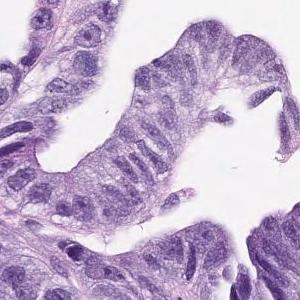
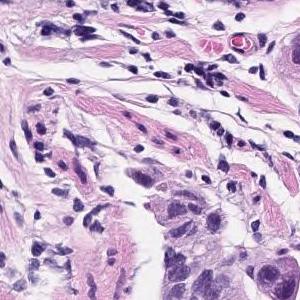
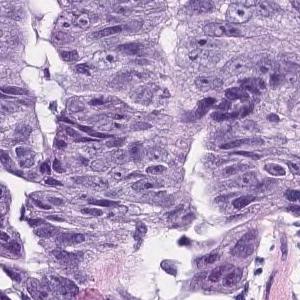
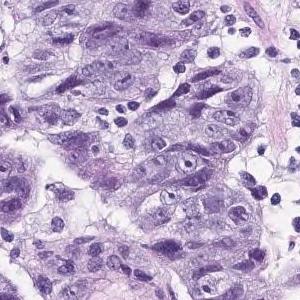
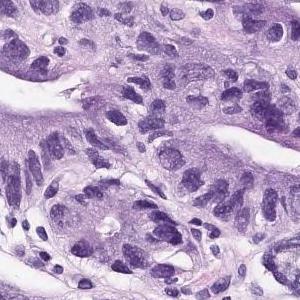
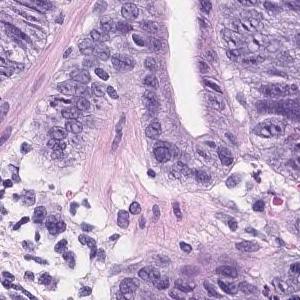
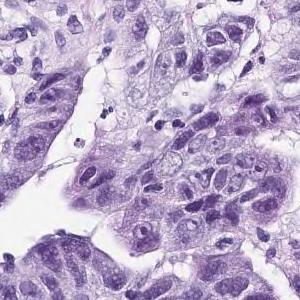
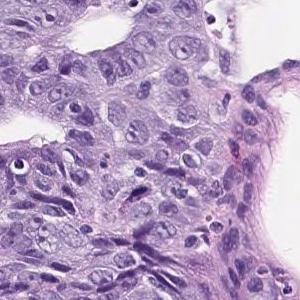
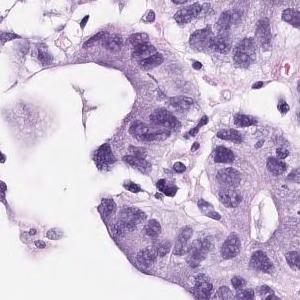
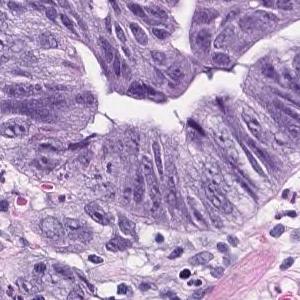
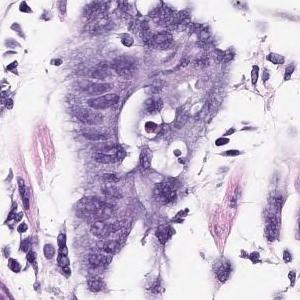
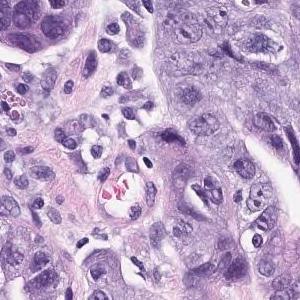
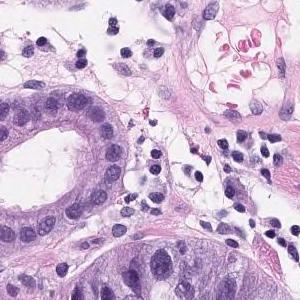
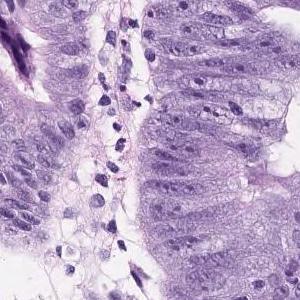
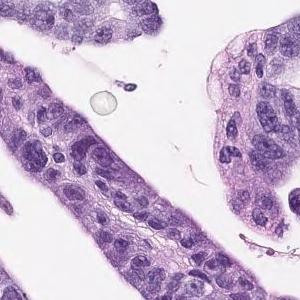
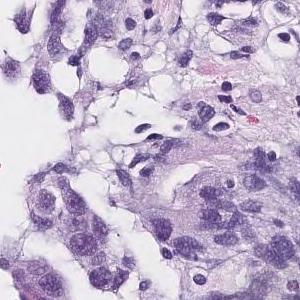
16 patches cut from one gastric biopsy slide; hematoxylin and eosin stain; 20× magnification.
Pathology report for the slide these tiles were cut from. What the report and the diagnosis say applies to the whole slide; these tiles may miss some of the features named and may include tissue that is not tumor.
In the superficial epithelium, tumor tissue that invades by forming medium-sized to small, irregular ducts is observed. Moderately differentiated adenocarcinoma.
Classified as moderately differentiated tubular adenocarcinoma.
